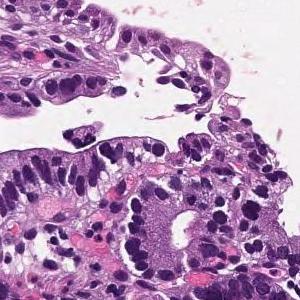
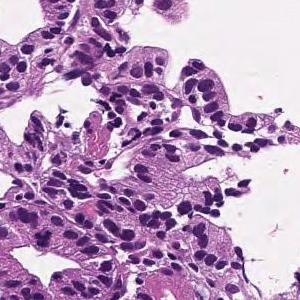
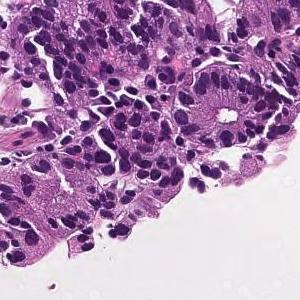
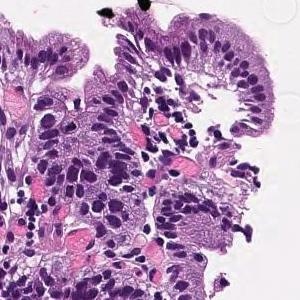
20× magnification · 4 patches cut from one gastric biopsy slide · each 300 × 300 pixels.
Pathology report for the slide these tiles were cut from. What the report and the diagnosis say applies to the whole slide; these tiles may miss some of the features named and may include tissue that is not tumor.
From the superficial epithelium to the muscularis mucosae, tumor tissue consisting of medium-sized and irregular glandular ducts infiltrating is observed. Well differentiated tubular adenocarcinoma
